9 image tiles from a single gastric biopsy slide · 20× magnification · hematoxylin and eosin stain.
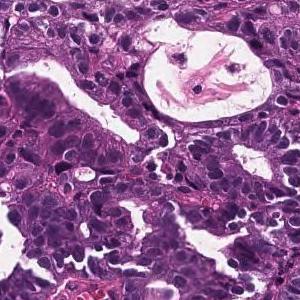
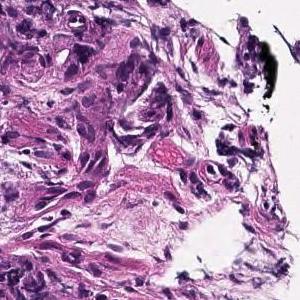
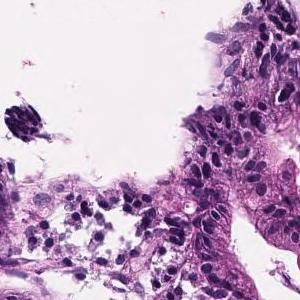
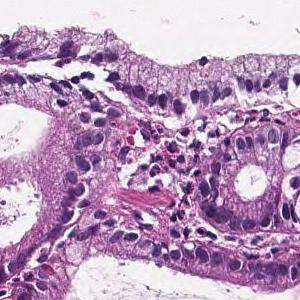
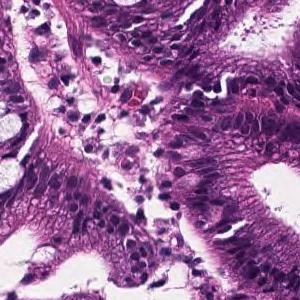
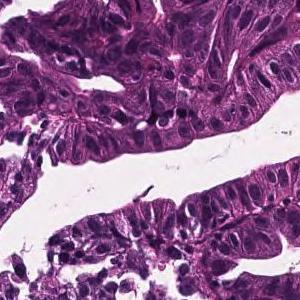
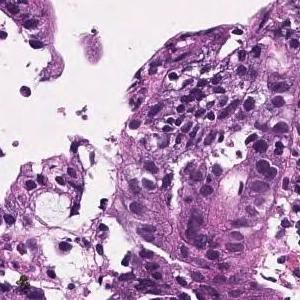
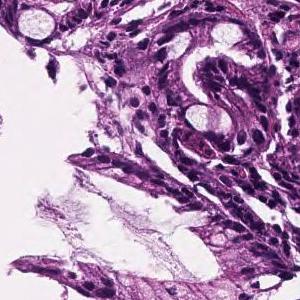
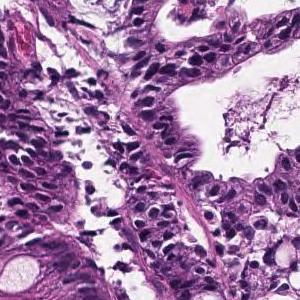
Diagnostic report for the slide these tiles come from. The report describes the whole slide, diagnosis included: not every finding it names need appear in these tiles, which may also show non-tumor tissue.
In the superficial epithelium, tumor tissue that invades by forming medium-sized to small, irregular ducts is observed. Well differentiated tubular adenocarcinoma.
